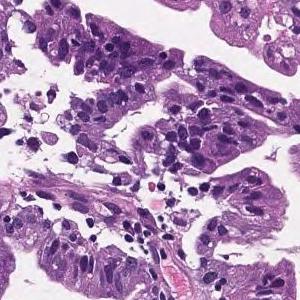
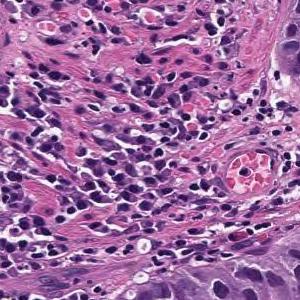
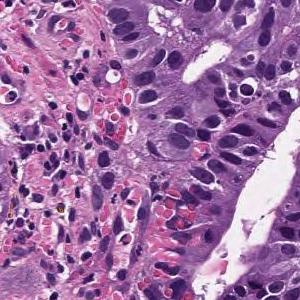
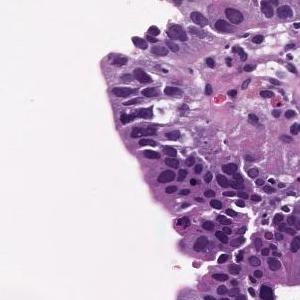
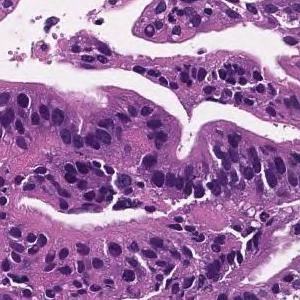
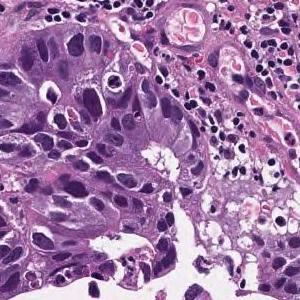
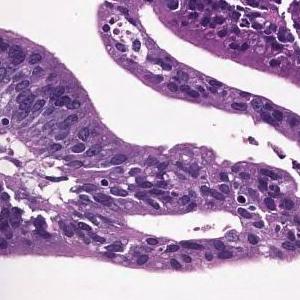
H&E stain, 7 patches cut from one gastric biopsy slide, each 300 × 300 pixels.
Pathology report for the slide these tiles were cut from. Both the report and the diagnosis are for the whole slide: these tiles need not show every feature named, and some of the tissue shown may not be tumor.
Tumor cells are large, highly columnar, large club-shaped nuclei, and are associated with chromatin aggregation. Papillary adenocarcinoma.
